Hematoxylin and eosin stain; 13 tiles cut from one stomach biopsy slide; each 300 × 300 pixels.
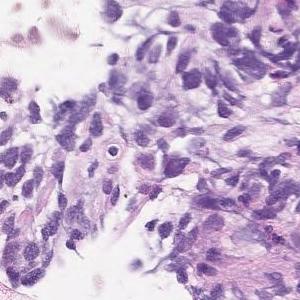
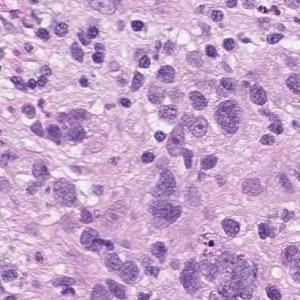
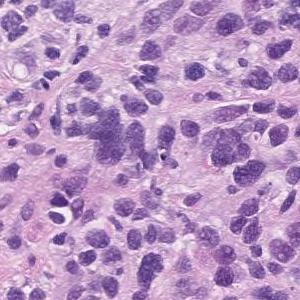
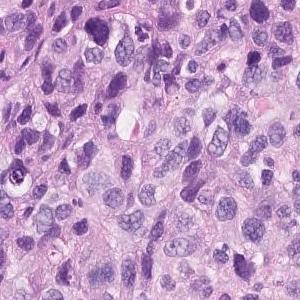
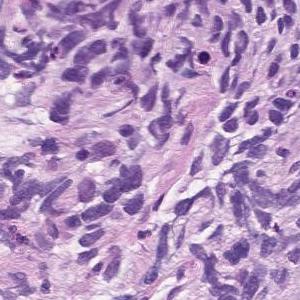
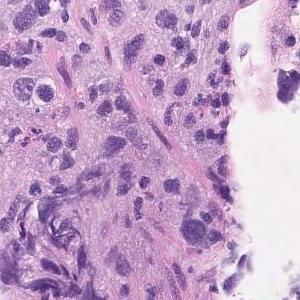
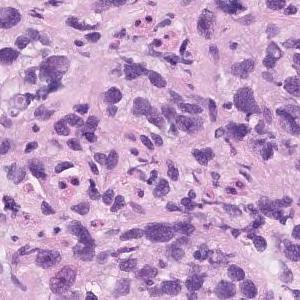
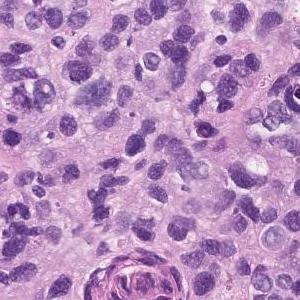
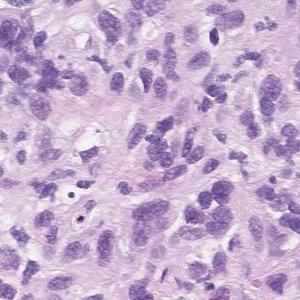
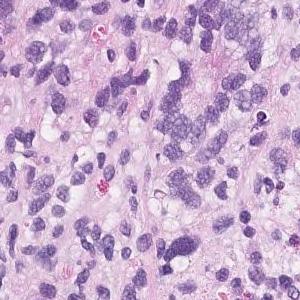
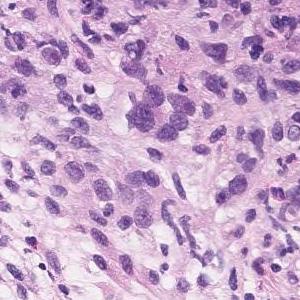
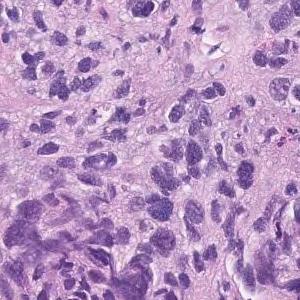
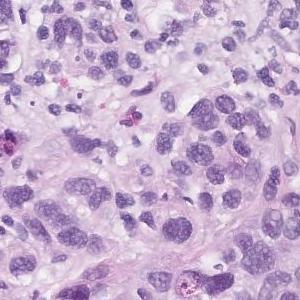
The pathologist's report on the biopsy slide these tiles were taken from. What the report and the diagnosis say applies to the whole slide; these tiles may miss some of the features named and may include tissue that is not tumor.
Atypical l cells with atypical nuclei under the mucosa growing in isolation and scattered. Poorly differentiated adenocarcinoma (poorly differentiated adenocarcinoma, non-solid type)
Classified as poorly differentiated adenocarcinoma, non-solid type.
"Non-solid type" is a category of the Japanese Classification of Gastric Carcinoma.
